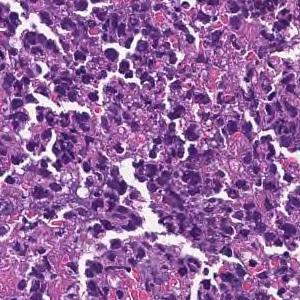
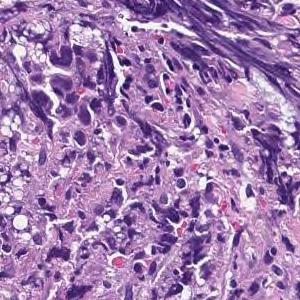
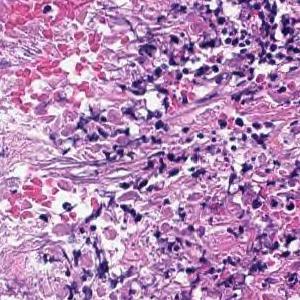
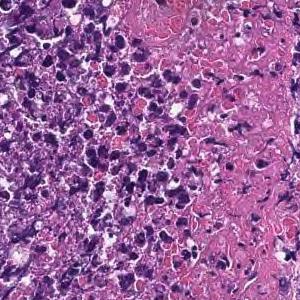
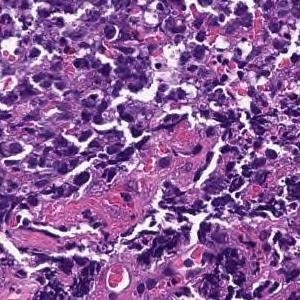
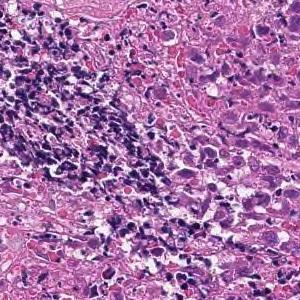
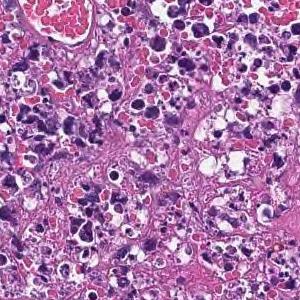
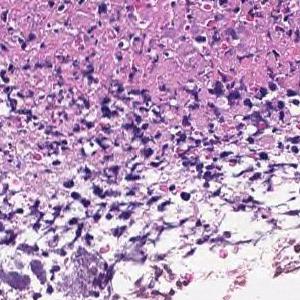
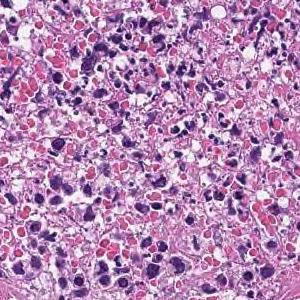
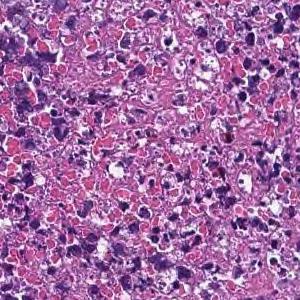
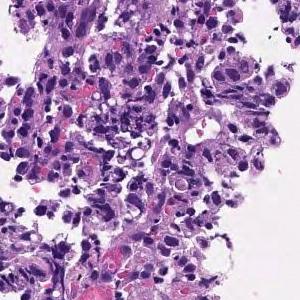
11 tiles from the same stomach biopsy slide · H&E stain · scanned at ×20.
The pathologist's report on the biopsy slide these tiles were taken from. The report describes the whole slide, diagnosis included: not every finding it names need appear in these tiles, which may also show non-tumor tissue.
Most are composed of coagulative necrotic tissue, but some show a large sheet-like shape, and some show tumor tissue infiltrating with a small cord-like structure. Poorly differentiated adenocarcinoma, solid-type
Histologic type: Poorly differentiated adenocarcinoma, solid type, a category of the Japanese Classification of Gastric Carcinoma; in the WHO 2019 classification it is tubular adenocarcinoma, poorly differentiated.
